8 patches cut from one gastric biopsy slide · 300×300 px each · ×20 · H&E stain.
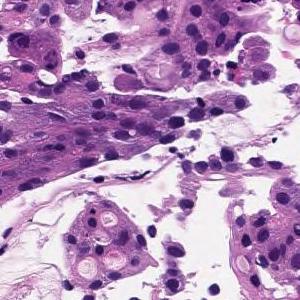
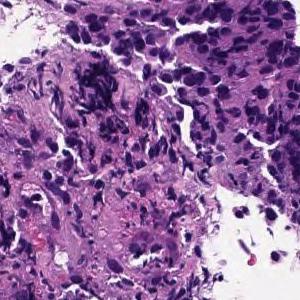
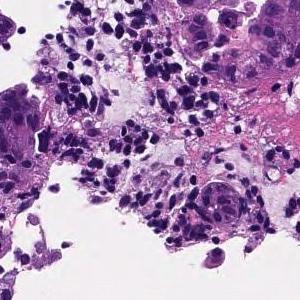
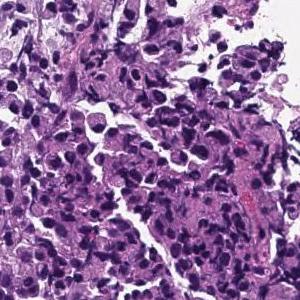
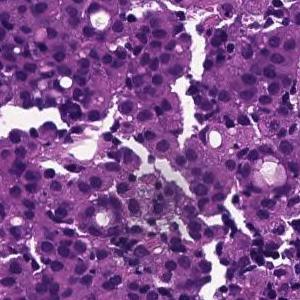
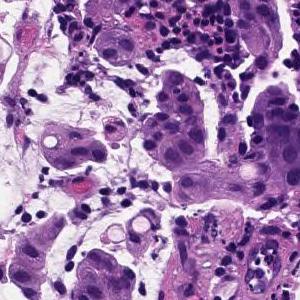
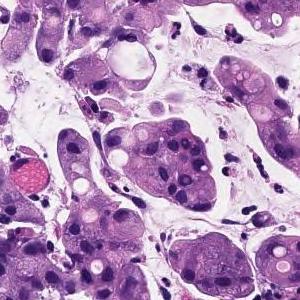
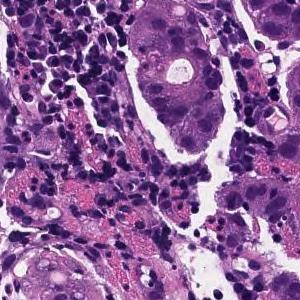
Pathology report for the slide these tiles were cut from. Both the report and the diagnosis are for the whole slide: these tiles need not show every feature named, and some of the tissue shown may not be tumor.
The superficial epithelium shows a large sheet-like shape, and some tumor tissue infiltrates with small irregular ducts. Poorly differentiated adenocarcinoma, solid-type
Subtype: Poorly differentiated adenocarcinoma, solid type. This name comes from the Japanese Classification of Gastric Carcinoma; the WHO 2019 classification calls it tubular adenocarcinoma, poorly differentiated.
